12 patches cut from one gastric biopsy slide.
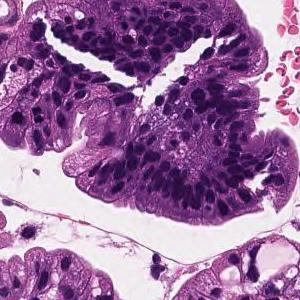
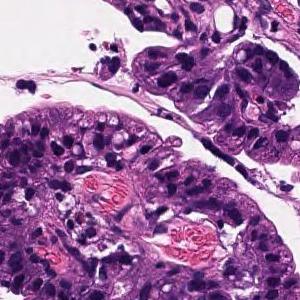
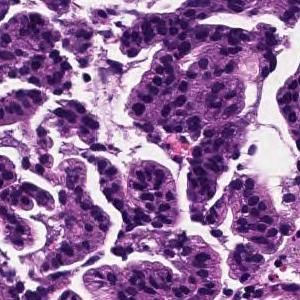
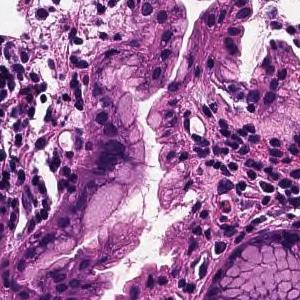
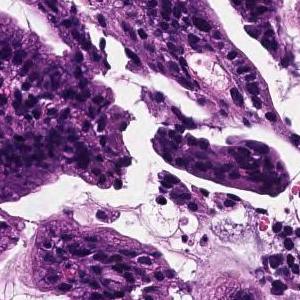
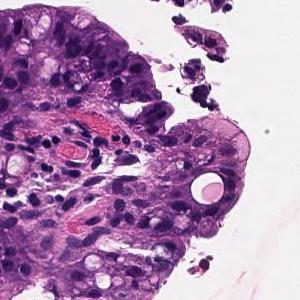
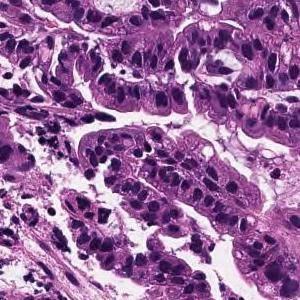
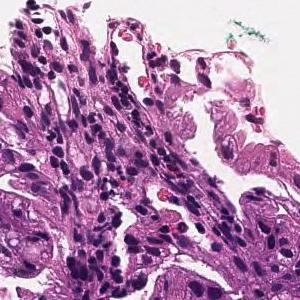
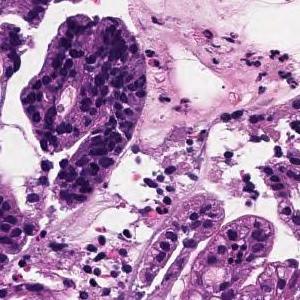
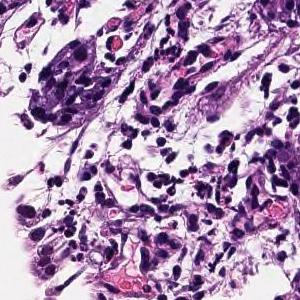
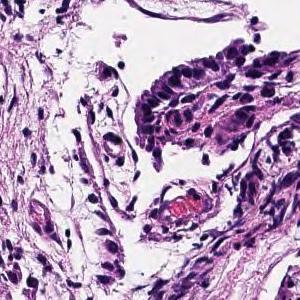
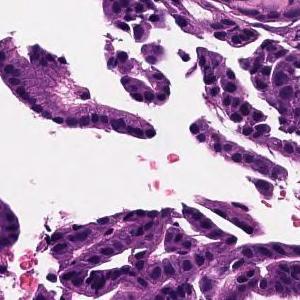
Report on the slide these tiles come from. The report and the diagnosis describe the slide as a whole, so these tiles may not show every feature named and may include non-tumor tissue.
On the superficial epithelium, tumor tissue that infiltrates by forming medium-sized papillary or small irregular ducts is observed. Papillary adenocarcinoma
